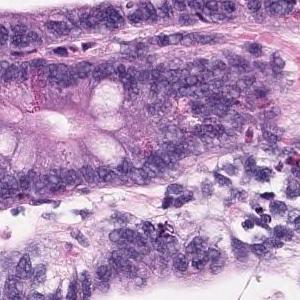
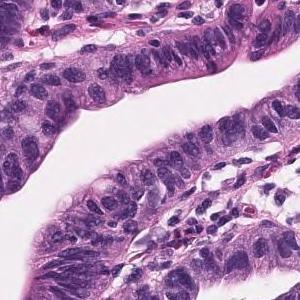
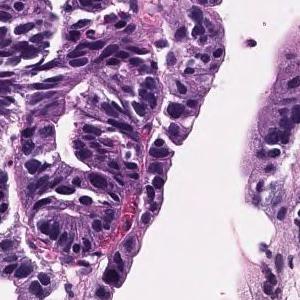
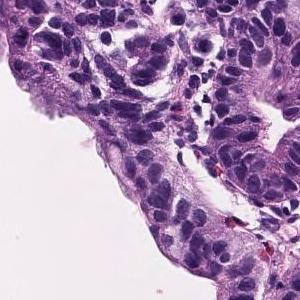
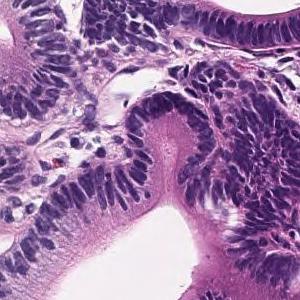
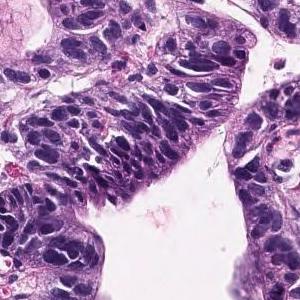
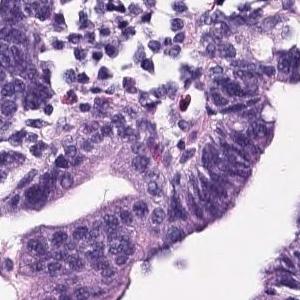
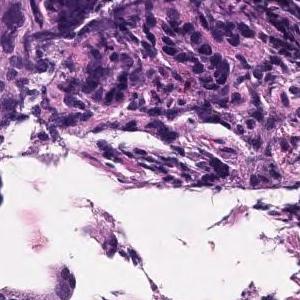
H&E · 8 tiles from the same stomach biopsy slide · 300 × 300 pixels each.
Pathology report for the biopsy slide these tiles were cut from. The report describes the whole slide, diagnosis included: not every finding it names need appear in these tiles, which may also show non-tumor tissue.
Tumor cells are large, highly columnar, large club-shaped nuclei, and are associated with chromatin aggregation. Papillary adenocarcinoma.
